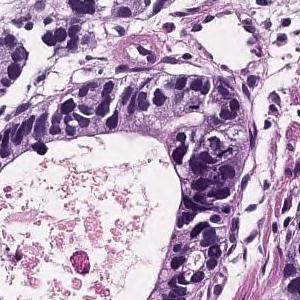
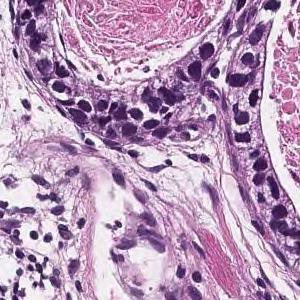
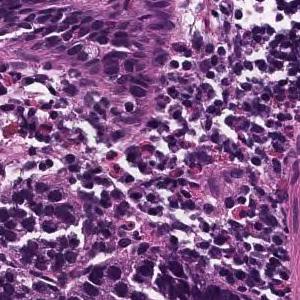
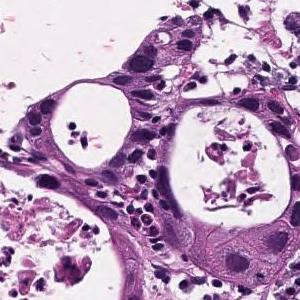
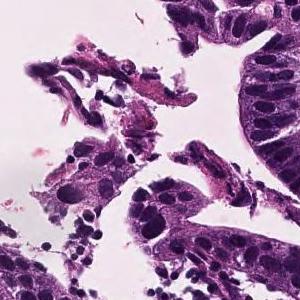
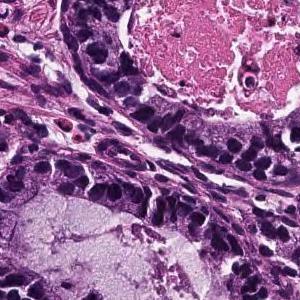
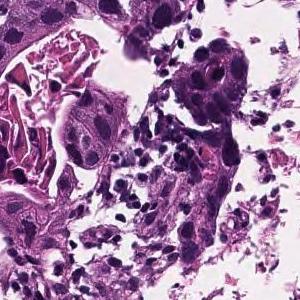
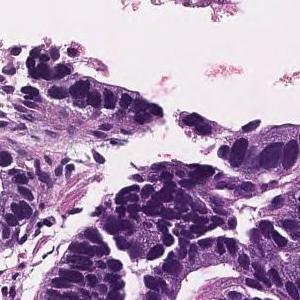
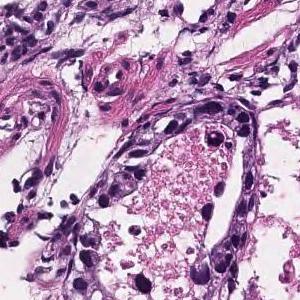
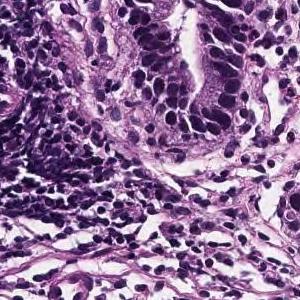
×20 · H&E · 10 patches cut from one gastric biopsy slide · each 300 × 300 pixels.
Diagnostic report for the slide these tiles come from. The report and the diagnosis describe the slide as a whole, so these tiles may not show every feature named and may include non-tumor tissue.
In the superficial epithelium, tumor tissue that invades by forming medium-sized to small, irregular ducts is observed. Well differentiated tubular adenocarcinoma.
